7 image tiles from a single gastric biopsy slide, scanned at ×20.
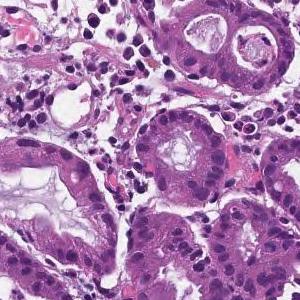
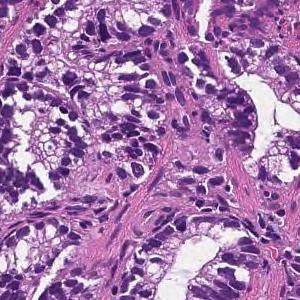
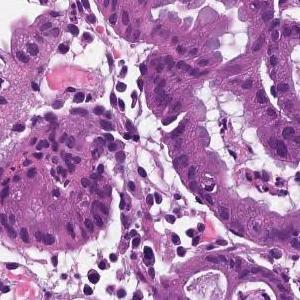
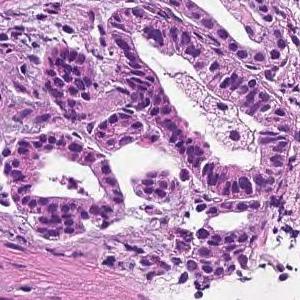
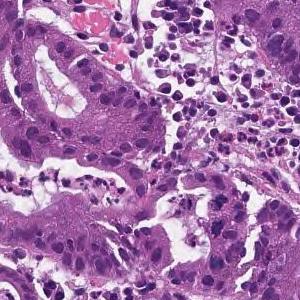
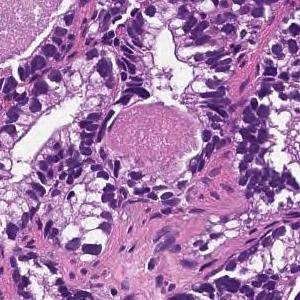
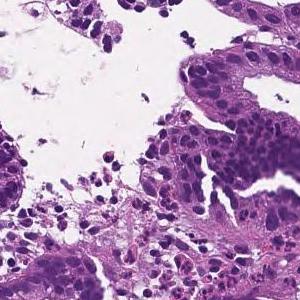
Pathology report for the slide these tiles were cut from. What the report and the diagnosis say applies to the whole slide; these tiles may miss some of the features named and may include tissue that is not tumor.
From the superficial epithelium to the muscularis mucosae, tumor tissue consisting of medium-sized and irregular glandular ducts infiltrating is observed. Well differentiated tubular adenocarcinoma
